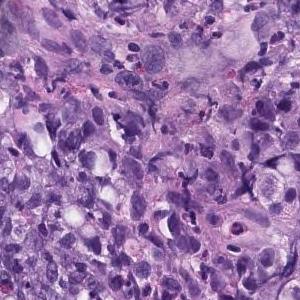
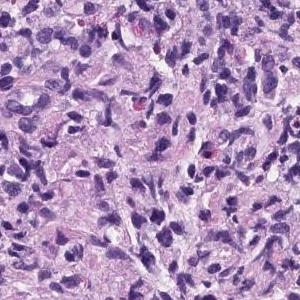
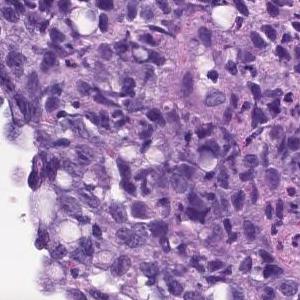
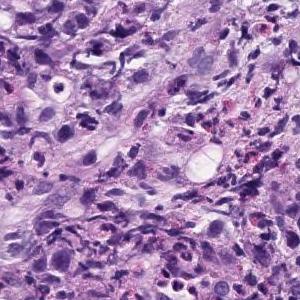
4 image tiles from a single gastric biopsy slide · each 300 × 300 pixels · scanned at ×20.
The pathologist's report on the biopsy slide these tiles were taken from. The report describes the whole slide, diagnosis included: not every finding it names need appear in these tiles, which may also show non-tumor tissue.
The superficial epithelium shows a large sheet-like shape, and some tumor tissue infiltrates with small irregular ducts. Poorly differentiated adenocarcinoma, solid-type
Histologic type: Poorly differentiated adenocarcinoma, solid type, a category of the Japanese Classification of Gastric Carcinoma; in the WHO 2019 classification it is tubular adenocarcinoma, poorly differentiated.
